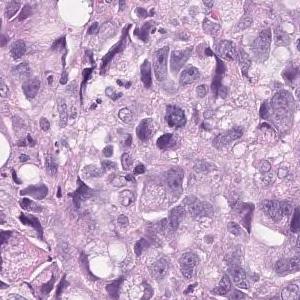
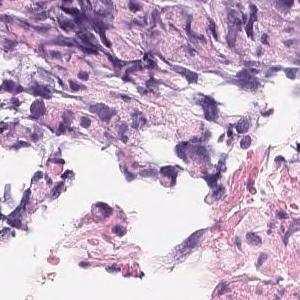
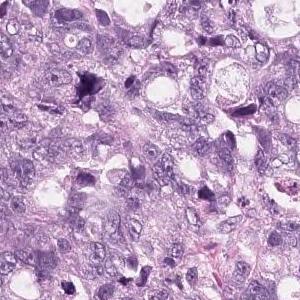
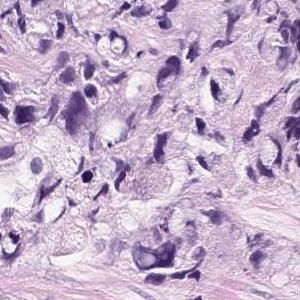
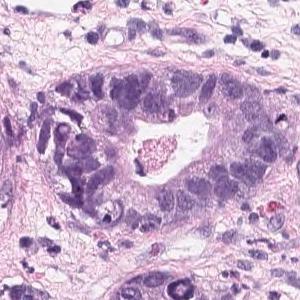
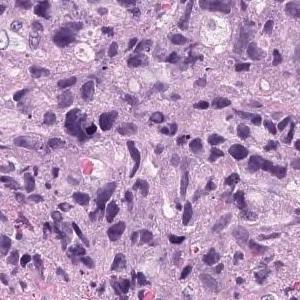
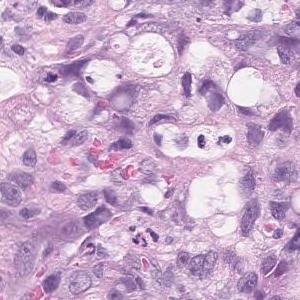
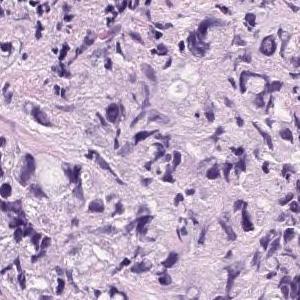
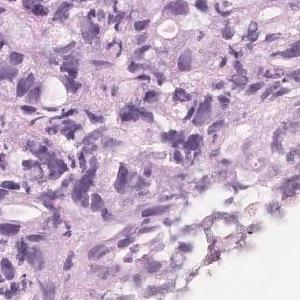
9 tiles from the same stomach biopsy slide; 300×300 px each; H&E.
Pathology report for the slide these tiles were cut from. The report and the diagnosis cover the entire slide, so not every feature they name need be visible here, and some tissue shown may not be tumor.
Tumor tissue that infiltrates and proliferates by forming small glandular cavities in the superficial layer to the submucosa or forming a mass is observed. moderately differentiated tubular adenocarcinoma
